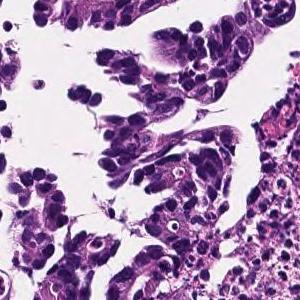
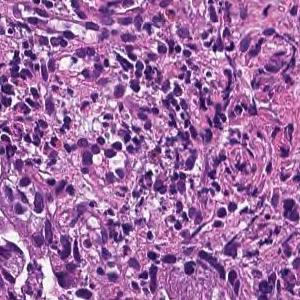
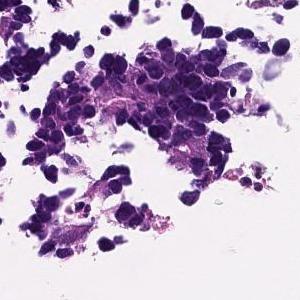
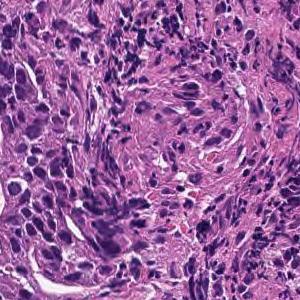
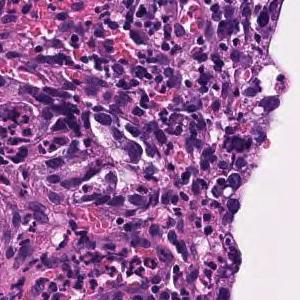
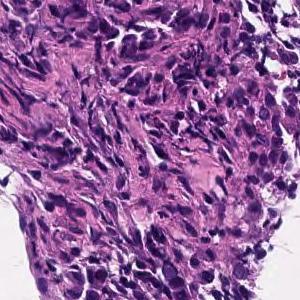
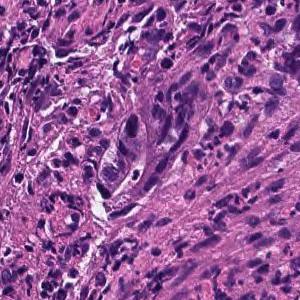
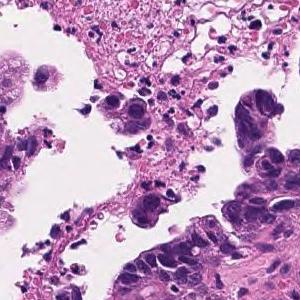
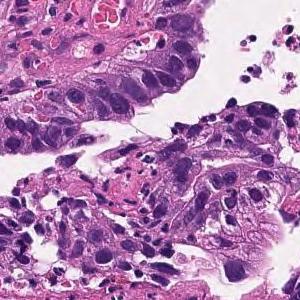
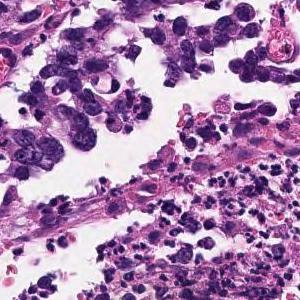
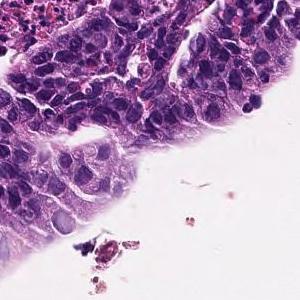
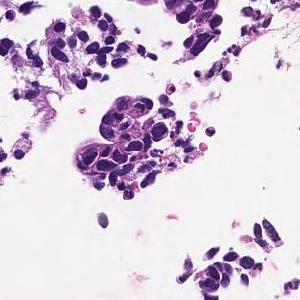
12 tiles from the same stomach biopsy slide; 300×300 px each; H&E.
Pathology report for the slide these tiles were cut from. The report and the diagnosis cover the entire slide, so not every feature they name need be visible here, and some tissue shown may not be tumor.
In the superficial epithelium, tumor tissue that invades by forming medium-sized to small, irregular ducts is observed. Moderately differentiated adenocarcinoma.
Classified as moderately differentiated tubular adenocarcinoma.
